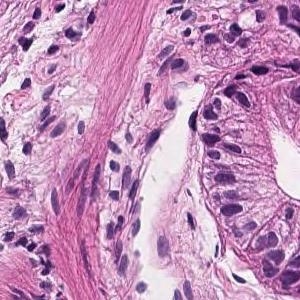
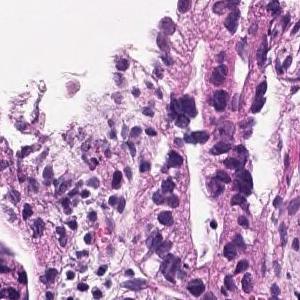
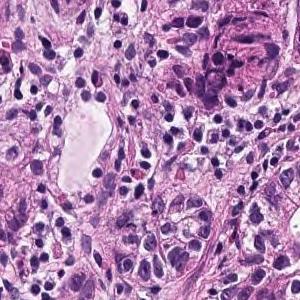
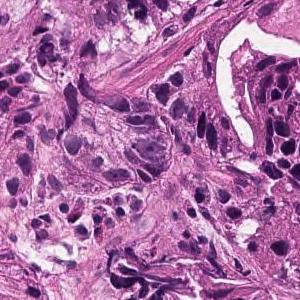
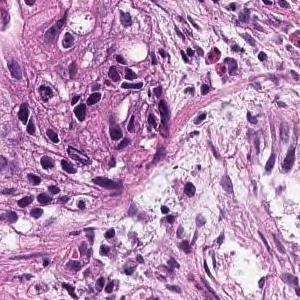
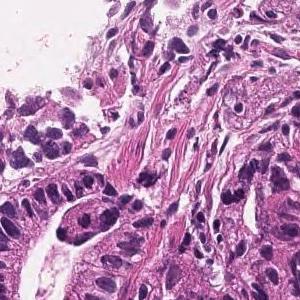
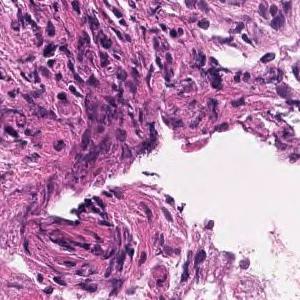
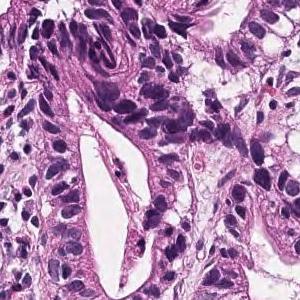
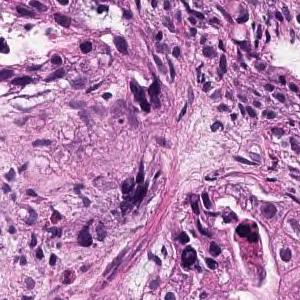
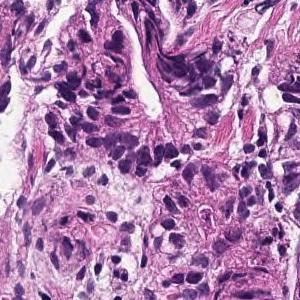
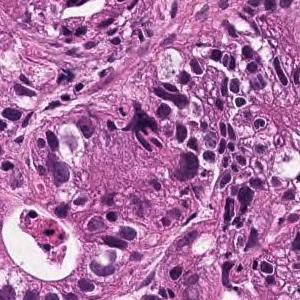
H&E · 20× magnification · 11 tiles from the same stomach biopsy slide.
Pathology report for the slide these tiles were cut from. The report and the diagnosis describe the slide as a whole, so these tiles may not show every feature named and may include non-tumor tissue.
From the superficial epithelium to the muscularis mucosae, tumor tissue infiltrating by forming medium-sized irregular gland ducts is observed. Large tumor cells exhibit large nucleus and hyperchromatism. Well differentiated tubular adenocarcinoma
